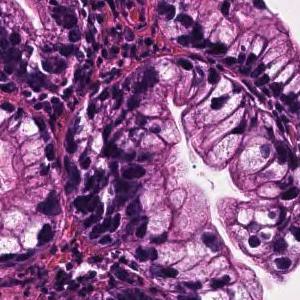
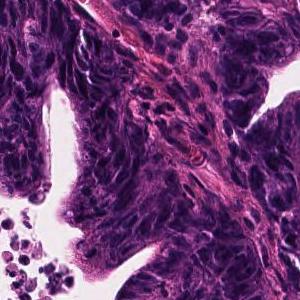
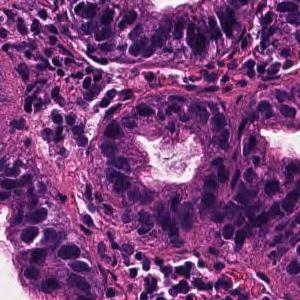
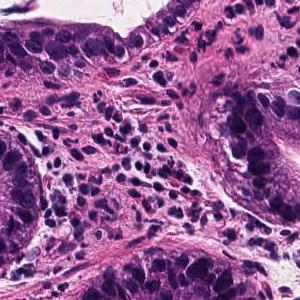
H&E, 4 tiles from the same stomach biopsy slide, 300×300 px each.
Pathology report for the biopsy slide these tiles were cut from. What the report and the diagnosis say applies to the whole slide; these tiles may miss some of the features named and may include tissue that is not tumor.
Tumor cells are large, highly columnar, large club-shaped nuclei, and are associated with chromatin aggregation. Papillary adenocarcinoma.
